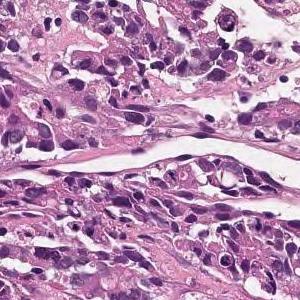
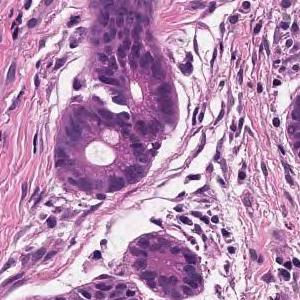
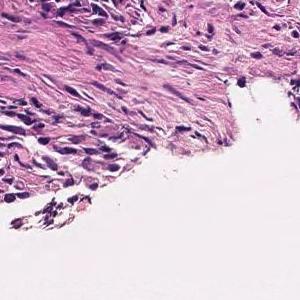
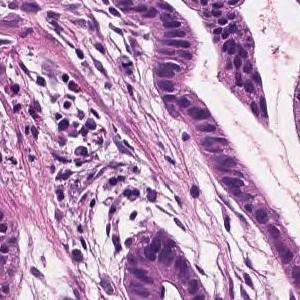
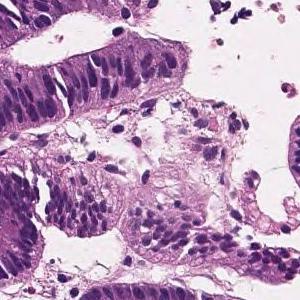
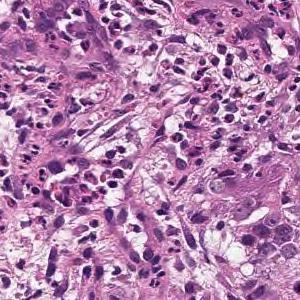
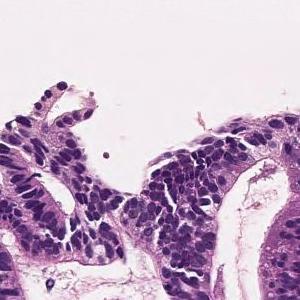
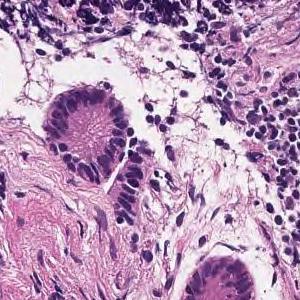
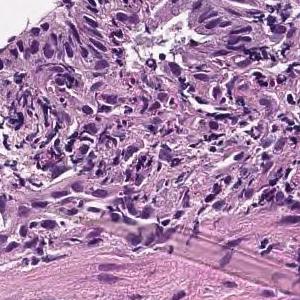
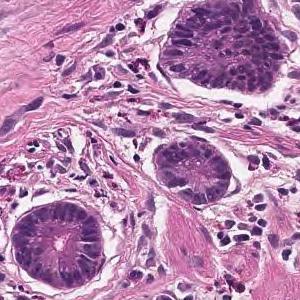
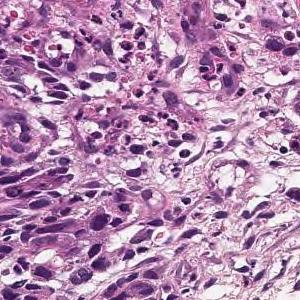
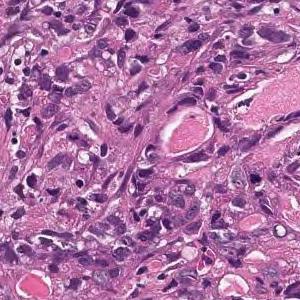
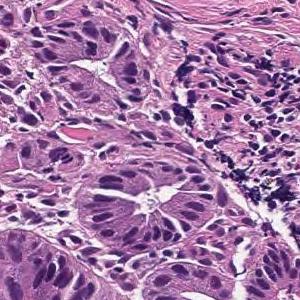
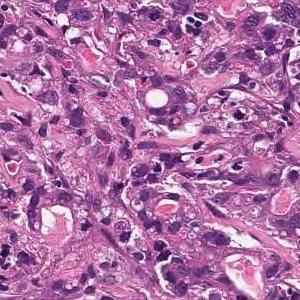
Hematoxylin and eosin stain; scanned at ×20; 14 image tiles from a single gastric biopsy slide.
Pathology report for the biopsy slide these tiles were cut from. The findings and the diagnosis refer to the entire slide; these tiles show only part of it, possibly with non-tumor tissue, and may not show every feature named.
Tumor tissue consisting of cord-like or small, irregular glandular ducts fused and infiltrated is observed in the superficial epithelium. Poorly differentiated adenocarcinoma, non-solid type
The non-solid type named here is a Japanese Classification of Gastric Carcinoma category.
